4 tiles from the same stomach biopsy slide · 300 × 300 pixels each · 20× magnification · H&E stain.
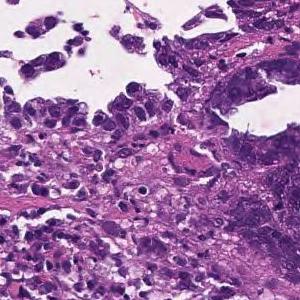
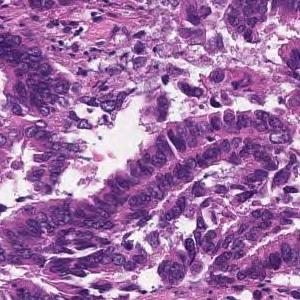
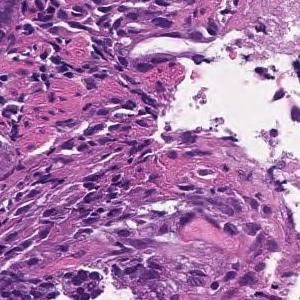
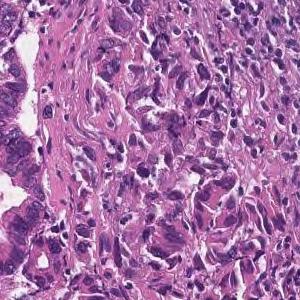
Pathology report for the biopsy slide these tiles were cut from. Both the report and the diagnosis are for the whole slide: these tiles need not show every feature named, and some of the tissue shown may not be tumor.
On the superficial epithelium, tumor tissue consisting of large, irregular glandular ducts partially fused and infiltrated is observed. Well to moderately differentiated tubular adenocarcinoma (well differentiated tubular adenocarcinoma, moderately differentiated tubular adenocarcinoma)
Tumor subtype: well to moderately differentiated tubular adenocarcinoma.
